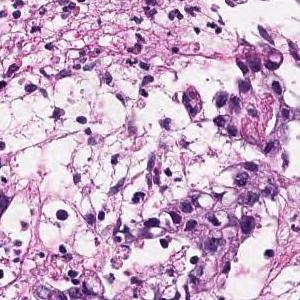
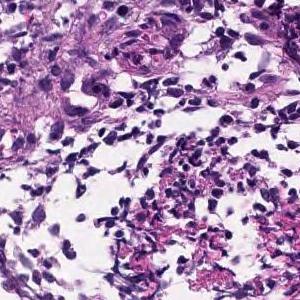
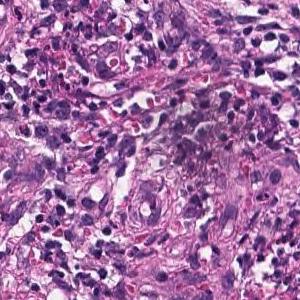
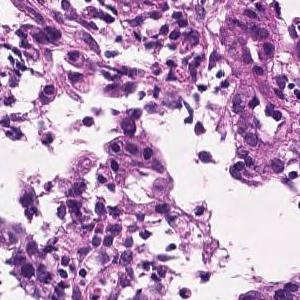
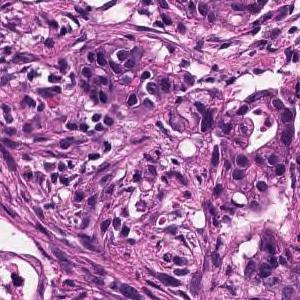
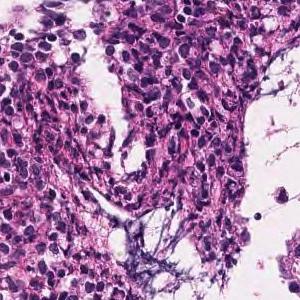
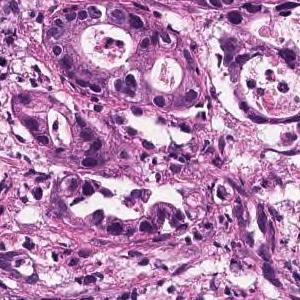
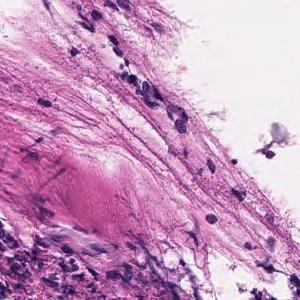
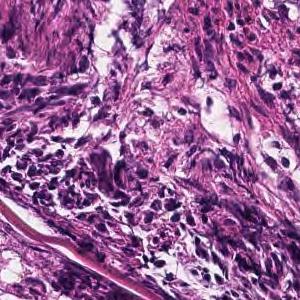
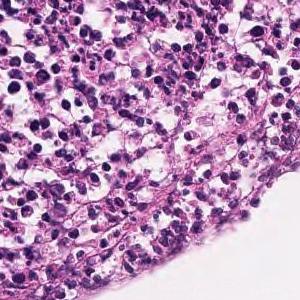
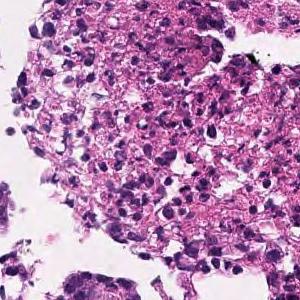
Hematoxylin and eosin stain · 11 patches cut from one gastric biopsy slide · 300×300 px each.
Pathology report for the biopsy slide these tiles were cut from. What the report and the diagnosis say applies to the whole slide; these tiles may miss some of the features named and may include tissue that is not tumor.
In the superficial epithelium, medium to small, irregular gland ducts are formed, and in some cases, the gland ducts are fused to show solid alveolar lesions and infiltrating tumor tissue is observed. Moderately to poorly differentiated adenocarcinoma.
